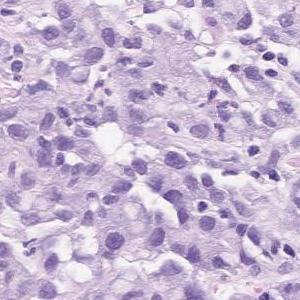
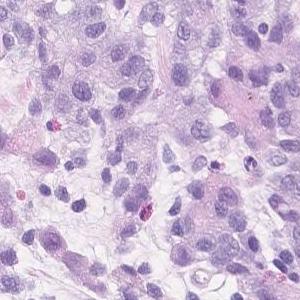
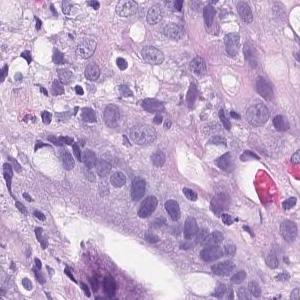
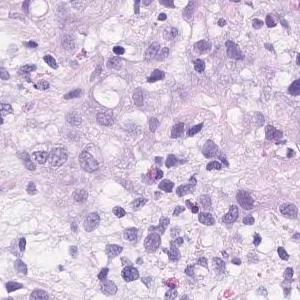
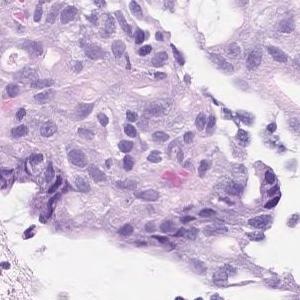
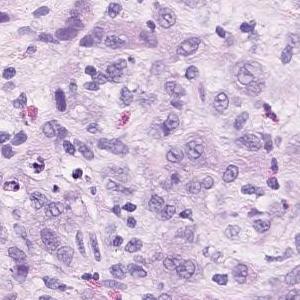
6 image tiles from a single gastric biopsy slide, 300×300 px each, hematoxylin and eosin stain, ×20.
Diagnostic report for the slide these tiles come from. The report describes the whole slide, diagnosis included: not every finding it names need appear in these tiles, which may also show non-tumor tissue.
Group 5, Adenocarcinoma. Poorly differentiated adenocarcinoma, non-solid type
"Non-solid type" is a category of the Japanese Classification of Gastric Carcinoma.
